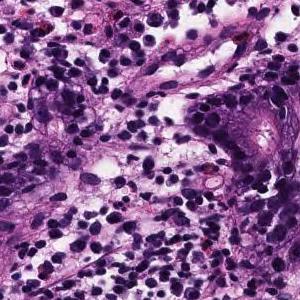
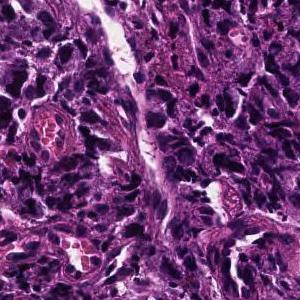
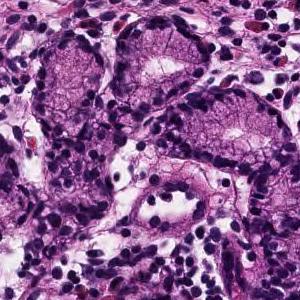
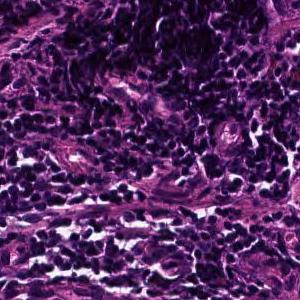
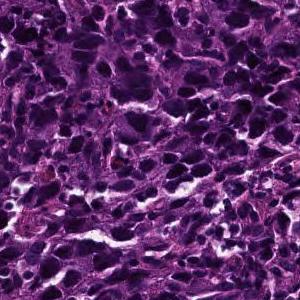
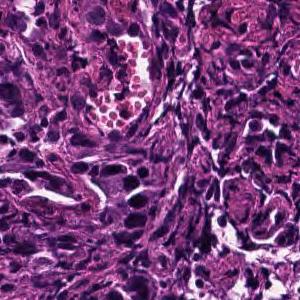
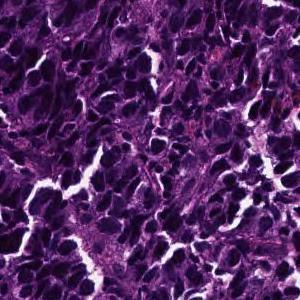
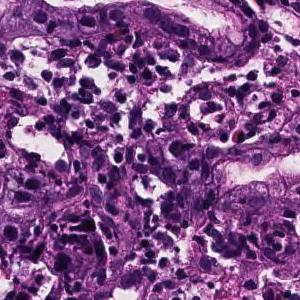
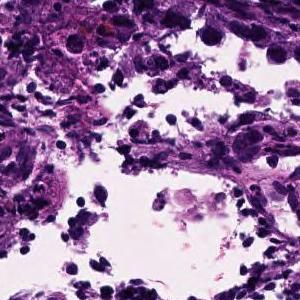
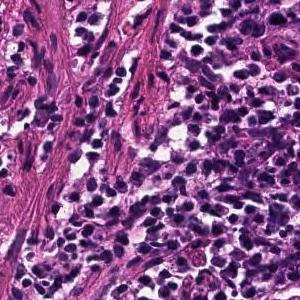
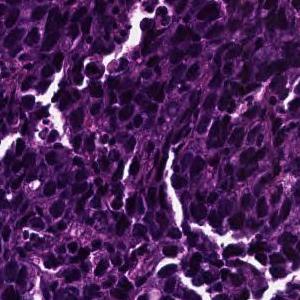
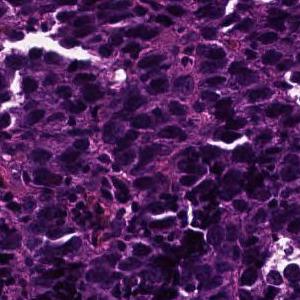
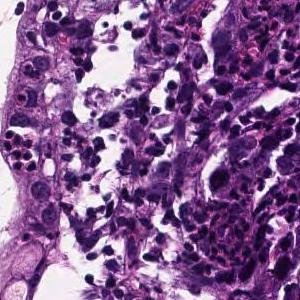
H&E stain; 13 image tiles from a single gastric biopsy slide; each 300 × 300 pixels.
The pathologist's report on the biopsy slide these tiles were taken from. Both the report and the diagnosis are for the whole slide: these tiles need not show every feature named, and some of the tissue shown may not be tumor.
The superficial epithelium shows a large sheet-like shape, and some tumor tissues infiltrate with a small cord-like structure. Poorly differentiated adenocarcinoma, solid type (poorly differentiated adenocarcinoma, solid type)
Tumor subtype: poorly differentiated adenocarcinoma, solid type. This name comes from the Japanese Classification of Gastric Carcinoma; the WHO 2019 classification calls it tubular adenocarcinoma, poorly differentiated.
